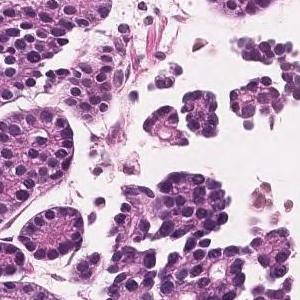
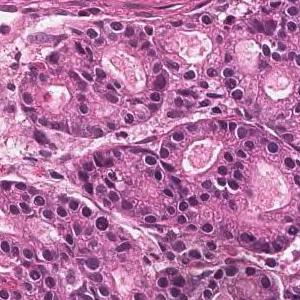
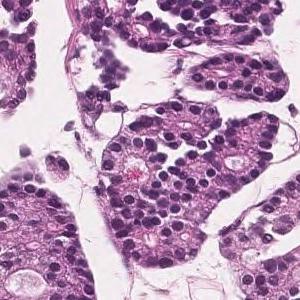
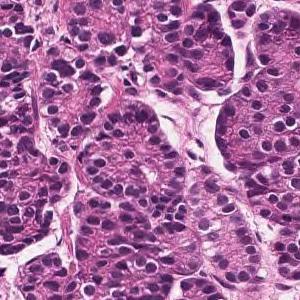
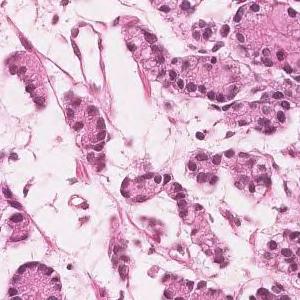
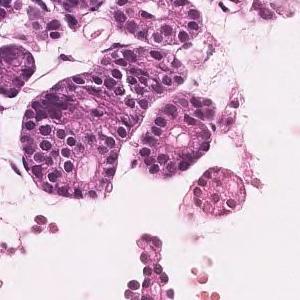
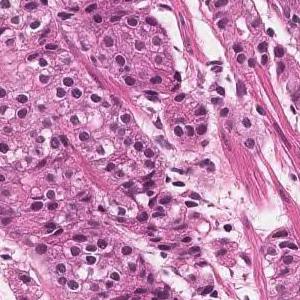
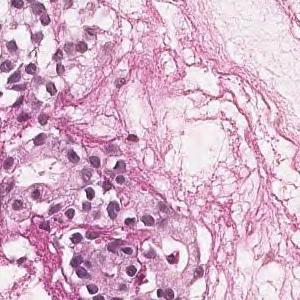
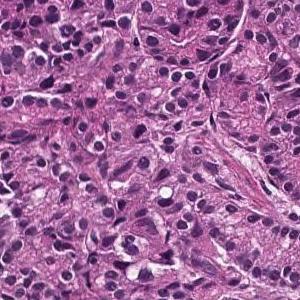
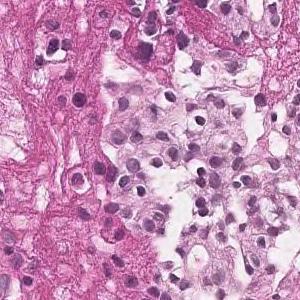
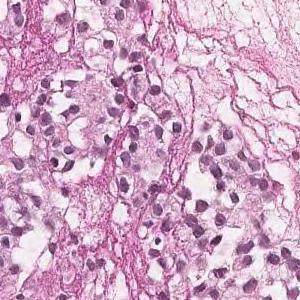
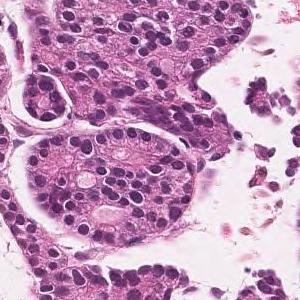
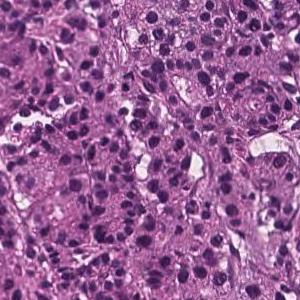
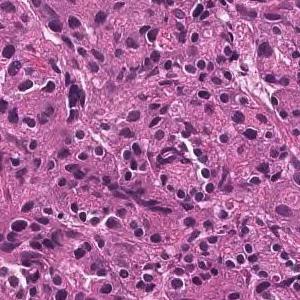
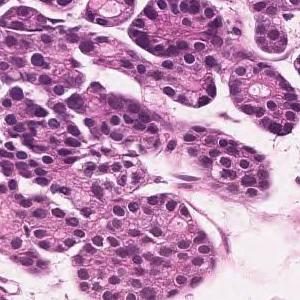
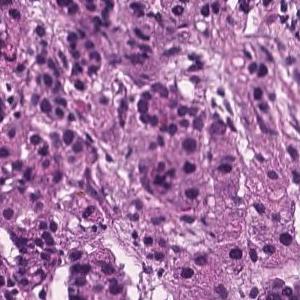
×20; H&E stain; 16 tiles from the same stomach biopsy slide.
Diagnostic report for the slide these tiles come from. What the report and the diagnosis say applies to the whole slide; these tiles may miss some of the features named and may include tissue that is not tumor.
In the superficial epithelium, tumor tissue that invades by forming medium-sized to small, irregular ducts is observed. Moderately differentiated adenocarcinoma.
Histological subtype: Moderately differentiated tubular adenocarcinoma.
